16 image tiles from a single gastric biopsy slide; 300 × 300 pixels each; 20× magnification; H&E stain.
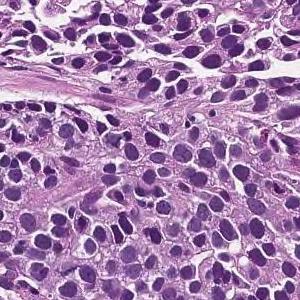
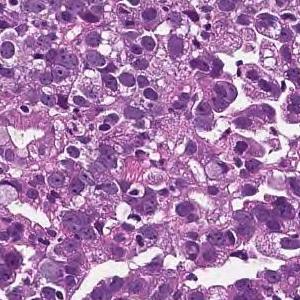
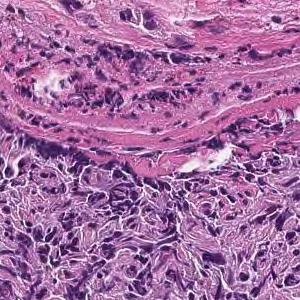
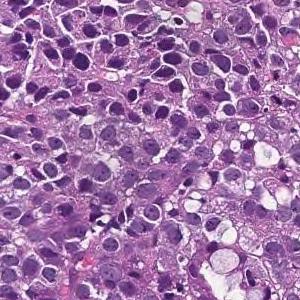
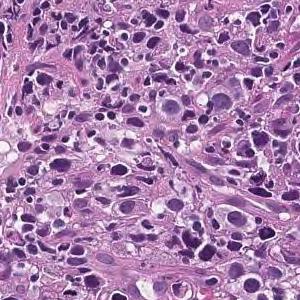
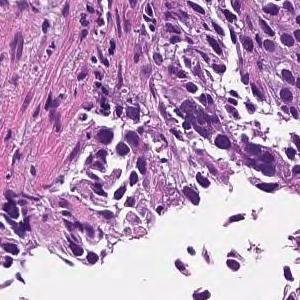
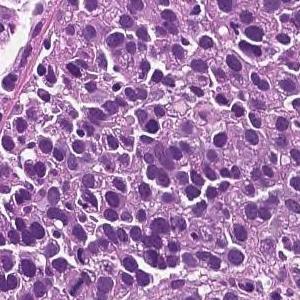
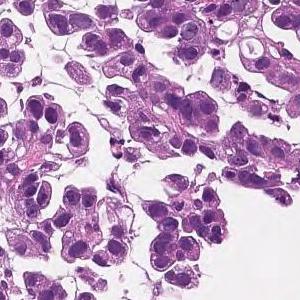
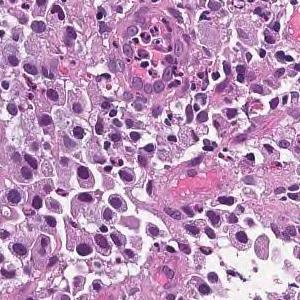
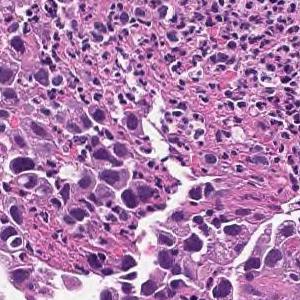
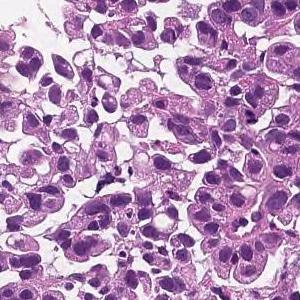
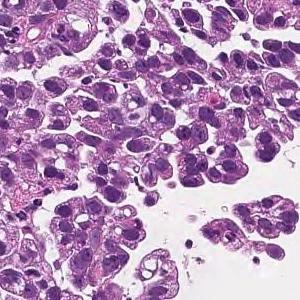
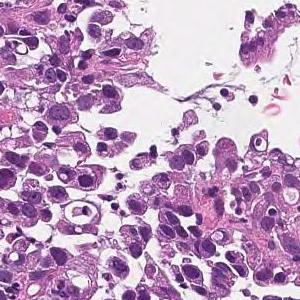
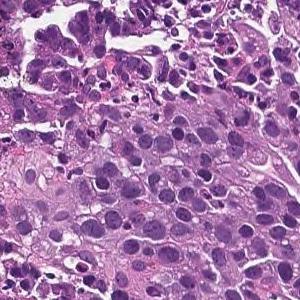
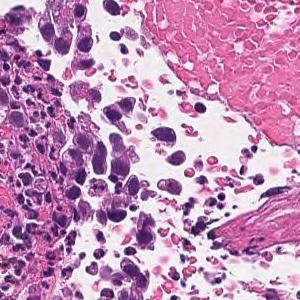
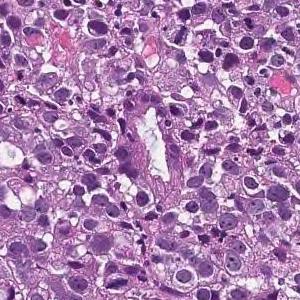
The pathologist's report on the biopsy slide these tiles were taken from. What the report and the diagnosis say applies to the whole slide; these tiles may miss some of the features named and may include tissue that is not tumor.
The superficial epithelium shows a large sheet-like shape, and some tumor tissue infiltrates with small irregular ducts. Poorly differentiated adenocarcinoma, solid-type
Histological subtype: Poorly differentiated adenocarcinoma, solid type. This name comes from the Japanese Classification of Gastric Carcinoma; the WHO 2019 classification calls it tubular adenocarcinoma, poorly differentiated.
